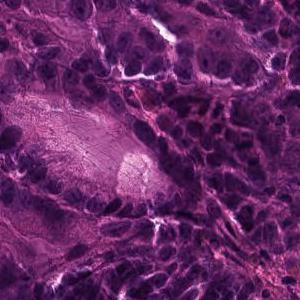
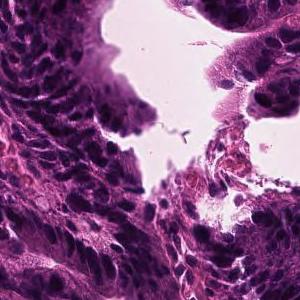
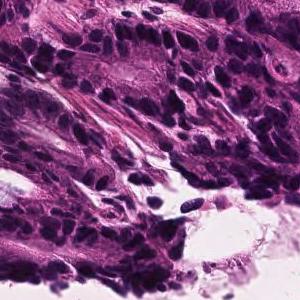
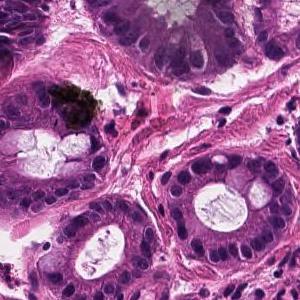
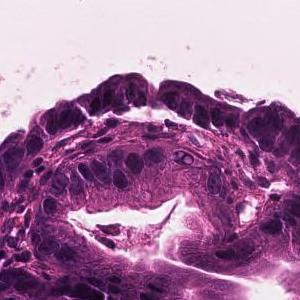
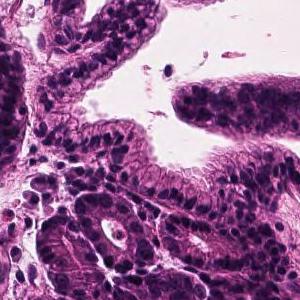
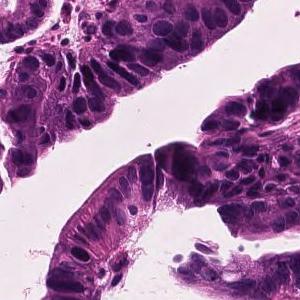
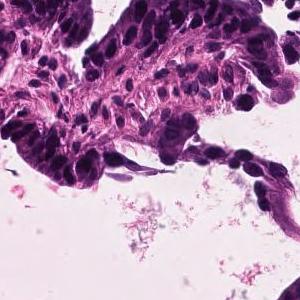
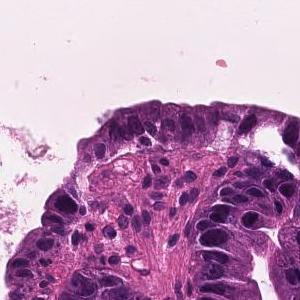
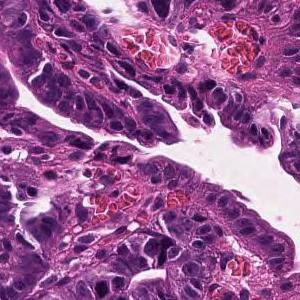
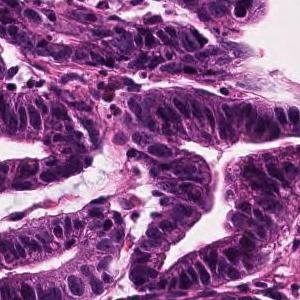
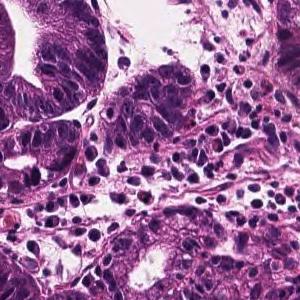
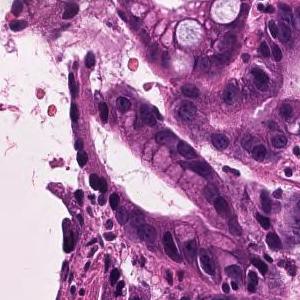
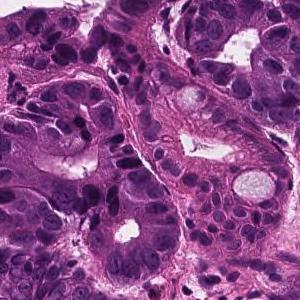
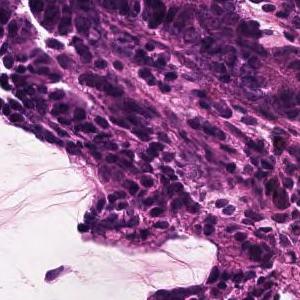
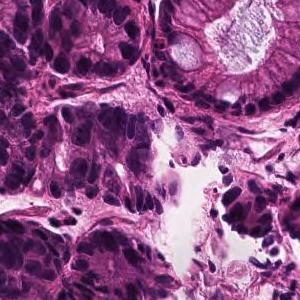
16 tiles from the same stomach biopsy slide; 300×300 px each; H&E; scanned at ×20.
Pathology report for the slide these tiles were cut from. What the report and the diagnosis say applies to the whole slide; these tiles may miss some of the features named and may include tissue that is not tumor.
In the superficial epithelium, tumor tissue that invades by forming medium-sized to small, irregular ducts is observed. Well differentiated tubular adenocarcinoma.
